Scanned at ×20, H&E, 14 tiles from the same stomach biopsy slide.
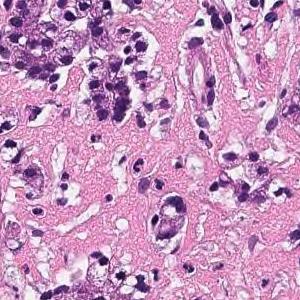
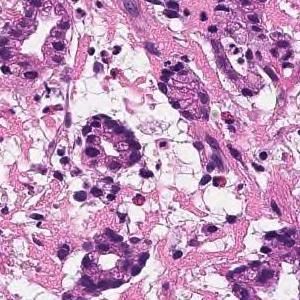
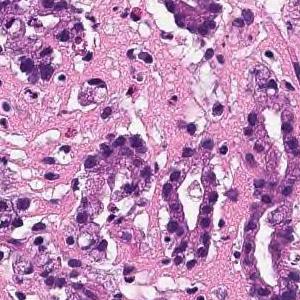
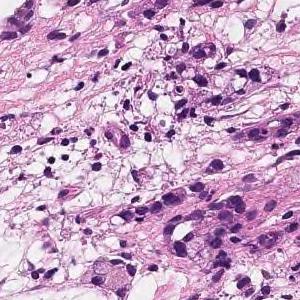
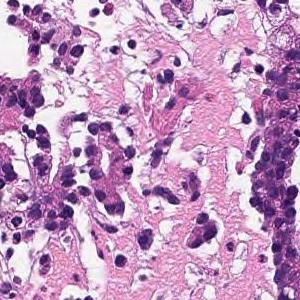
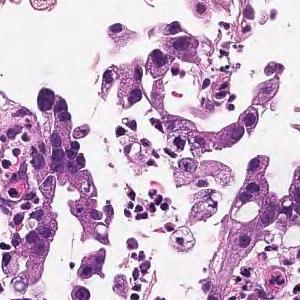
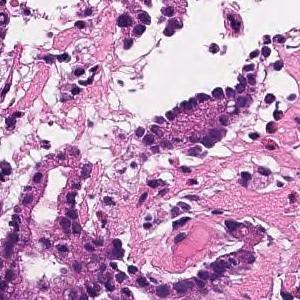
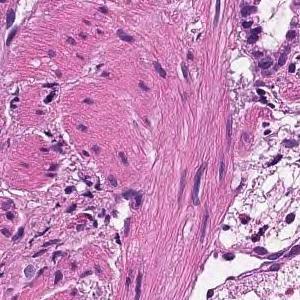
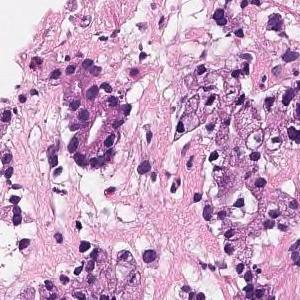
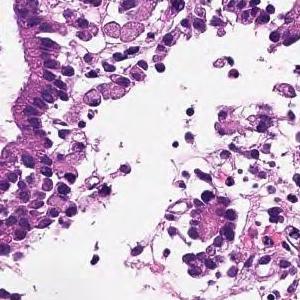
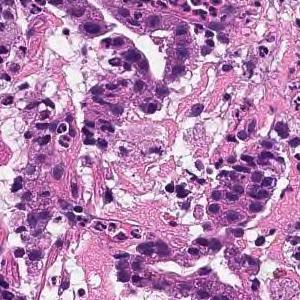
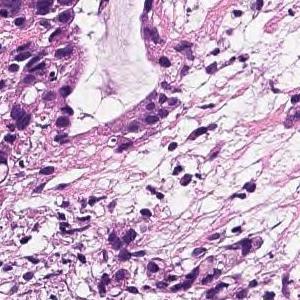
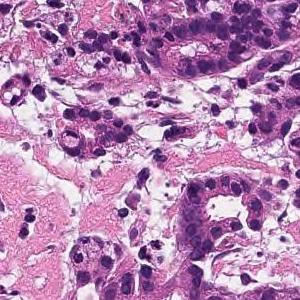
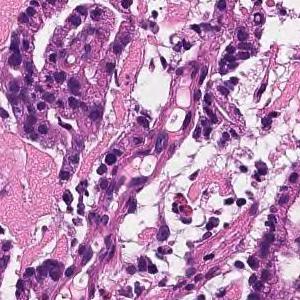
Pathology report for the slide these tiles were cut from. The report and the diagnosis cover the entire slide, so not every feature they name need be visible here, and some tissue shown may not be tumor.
In the superficial epithelium, tumor tissue that invades by forming medium-sized to small, irregular ducts is observed. moderately differentiated tubular adenocarcinoma.
